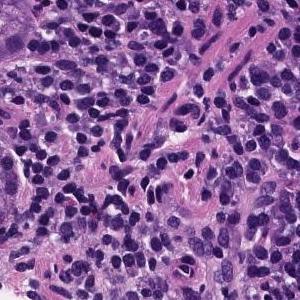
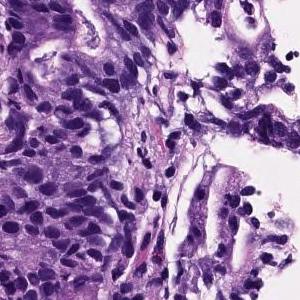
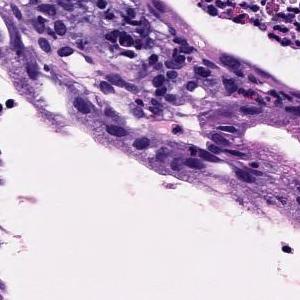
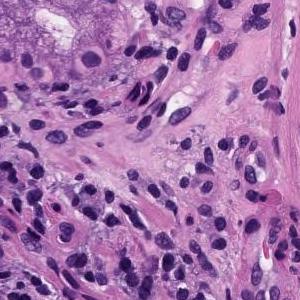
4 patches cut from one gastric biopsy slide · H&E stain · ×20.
Diagnostic report for the slide these tiles come from. The report and the diagnosis describe the slide as a whole, so these tiles may not show every feature named and may include non-tumor tissue.
Medium to small, irregular glandular ducts are formed in the superficial epithelium, and in some cases, the glandular ducts are fused to show solid alveolar lesions and infiltrating tumor tissue is observed. Moderately to poorly differentiated adenocarcinoma.
